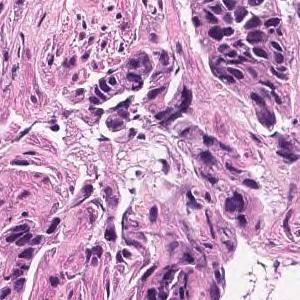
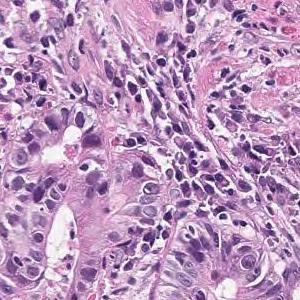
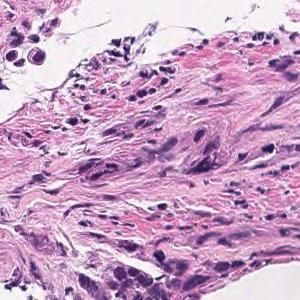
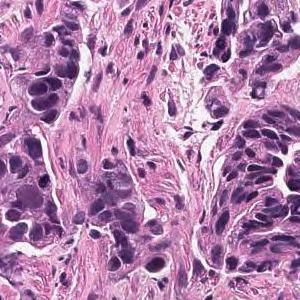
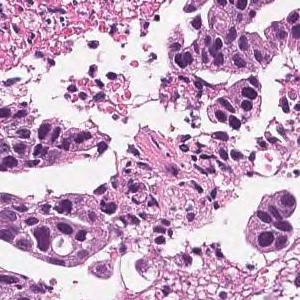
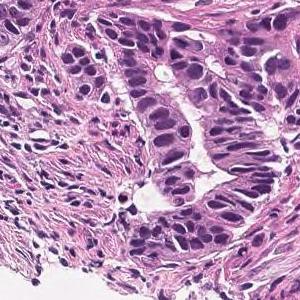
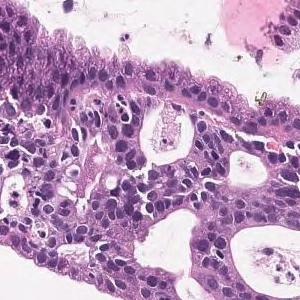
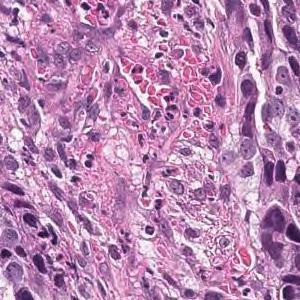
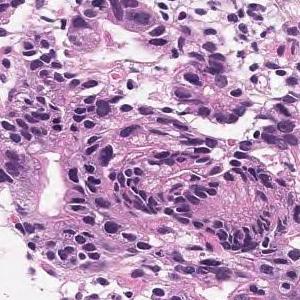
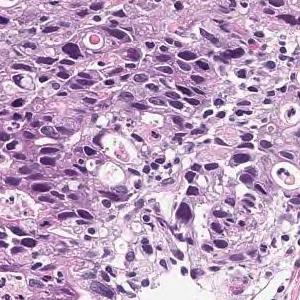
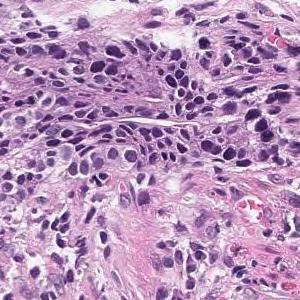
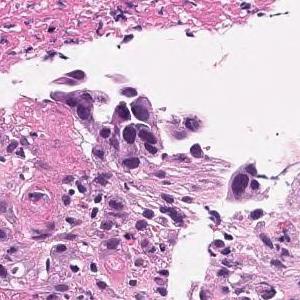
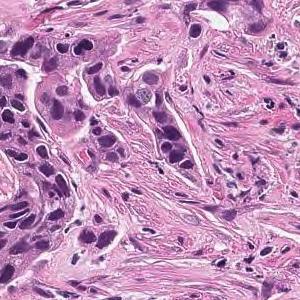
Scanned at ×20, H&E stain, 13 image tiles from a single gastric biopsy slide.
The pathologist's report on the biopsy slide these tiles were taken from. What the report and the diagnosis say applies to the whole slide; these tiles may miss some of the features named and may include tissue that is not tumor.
Tumor cells are large, highly columnar, large club-shaped nuclei, and are associated with chromatin aggregation. Papillary adenocarcinoma.
